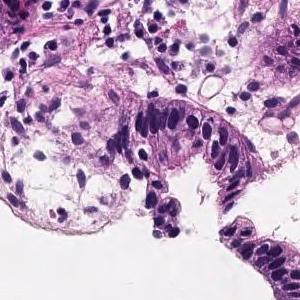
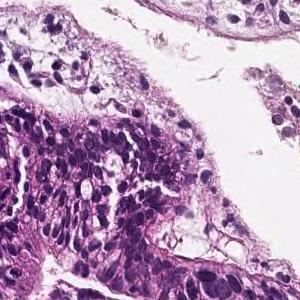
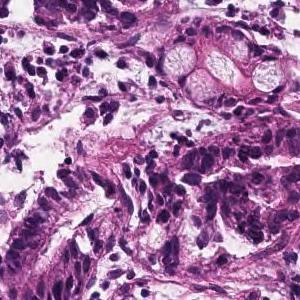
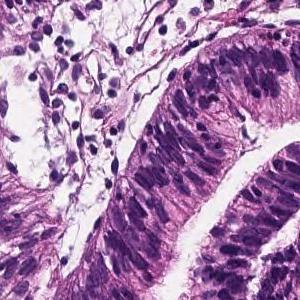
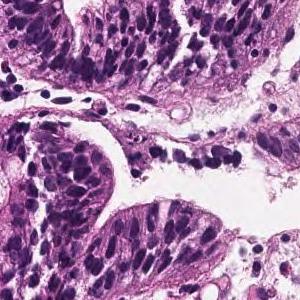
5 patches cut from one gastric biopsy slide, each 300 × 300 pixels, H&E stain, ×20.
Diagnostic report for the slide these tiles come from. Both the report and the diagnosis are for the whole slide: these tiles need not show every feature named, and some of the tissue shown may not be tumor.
Tumor cells are large, highly columnar, large club-shaped nuclei, and are associated with chromatin aggregation. Papillary adenocarcinoma.
